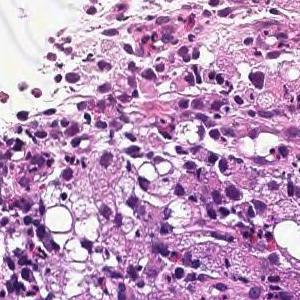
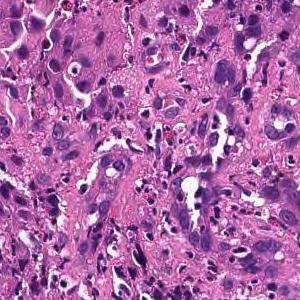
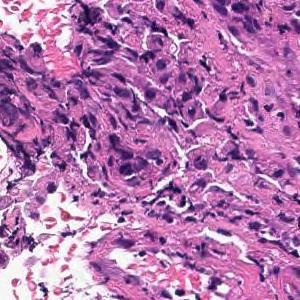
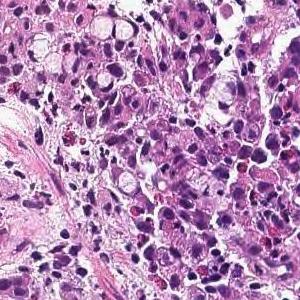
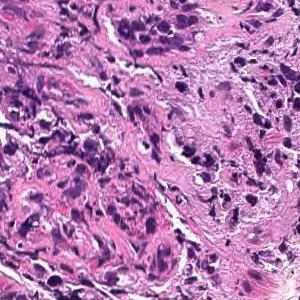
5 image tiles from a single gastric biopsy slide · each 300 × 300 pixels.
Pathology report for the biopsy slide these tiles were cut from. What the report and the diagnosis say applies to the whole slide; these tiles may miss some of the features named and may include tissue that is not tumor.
Tumor tissue consisting of diffusely infiltrated large atypical epithelial cells or signet ring atypical cells is observed in the superficial epithelium. Poorly differentiated adenocarcinoma, solid-type
Classified as poorly differentiated adenocarcinoma, solid type. This name comes from the Japanese Classification of Gastric Carcinoma; the WHO 2019 classification calls it tubular adenocarcinoma, poorly differentiated.
